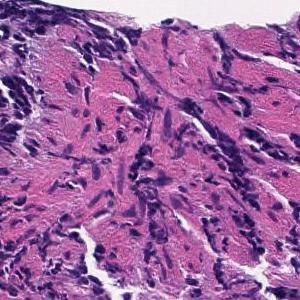
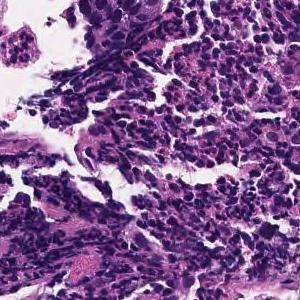
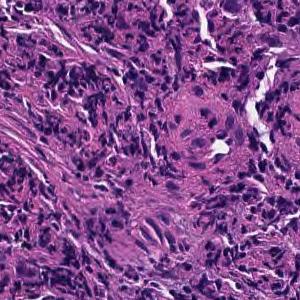
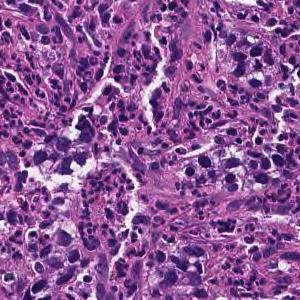
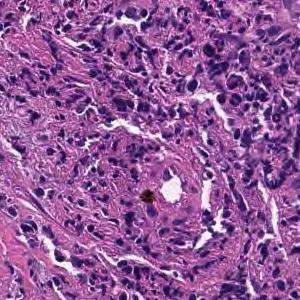
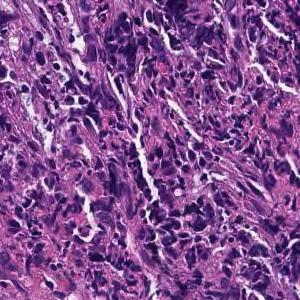
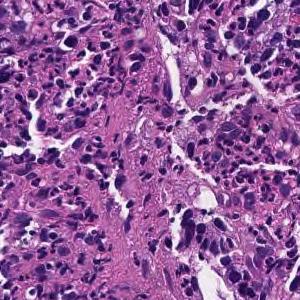
H&E · 20× magnification · 7 patches cut from one gastric biopsy slide · each 300 × 300 pixels.
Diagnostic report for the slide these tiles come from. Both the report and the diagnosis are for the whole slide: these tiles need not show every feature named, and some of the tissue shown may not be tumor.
Tumor tissue consisting of cord-like or small, irregular glandular ducts fused and infiltrated is observed in the superficial epithelium. Poorly differentiated adenocarcinoma, non-solid type
"Non-solid type" is a category of the Japanese Classification of Gastric Carcinoma.
